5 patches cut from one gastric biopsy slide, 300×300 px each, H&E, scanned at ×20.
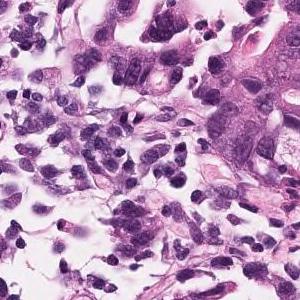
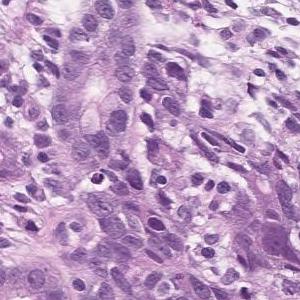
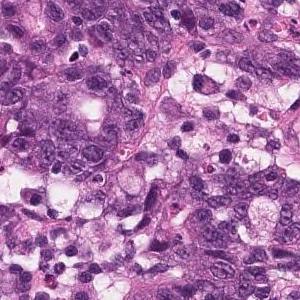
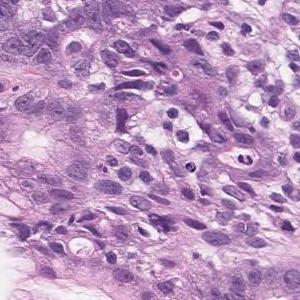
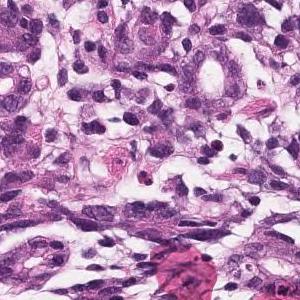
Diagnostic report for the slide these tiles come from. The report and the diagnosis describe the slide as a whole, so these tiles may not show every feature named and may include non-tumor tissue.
It is mixed with the existing pit epithelium and pyloric gland epithelium, and irregularly fused and branched atypical ducts are observed. Moderately differentiated tubular adenocarcinoma (well differentiated tubular adenocarcinoma)
Labeled in the dataset as moderately differentiated tubular adenocarcinoma.
